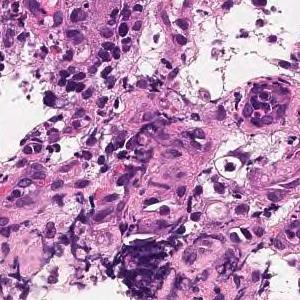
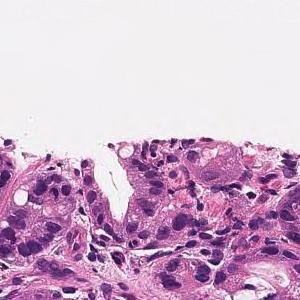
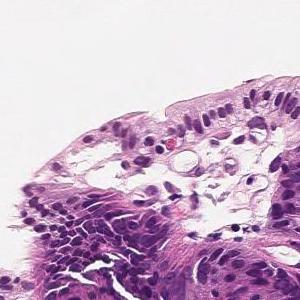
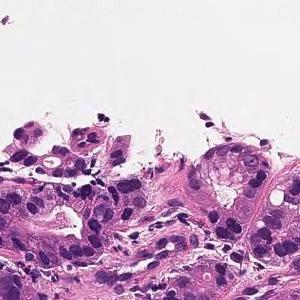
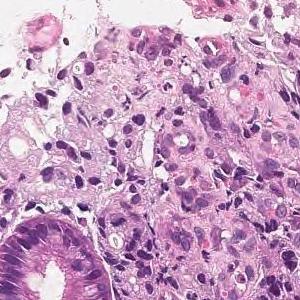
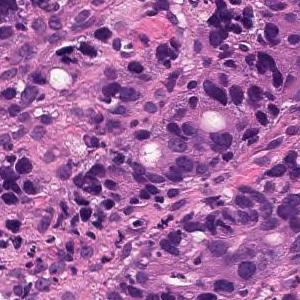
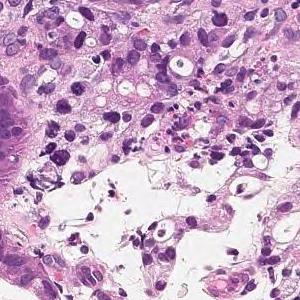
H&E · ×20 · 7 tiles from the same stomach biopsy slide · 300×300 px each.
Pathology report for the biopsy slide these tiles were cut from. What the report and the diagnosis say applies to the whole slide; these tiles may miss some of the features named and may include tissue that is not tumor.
In the superficial epithelium, medium to small irregular gland ducts are formed, and in some cases, the ducts are fused to show solid alveolar lesions and infiltrating tumor tissue is observed. moderately differentiated tubular adenocarcinoma or poorly differentiated adenocarcinoma, solid-type (poorly differentiated adenocarcinoma, solid type)
The dataset labels this slide poorly differentiated adenocarcinoma, solid type, a category of the Japanese Classification of Gastric Carcinoma; in the WHO 2019 classification it is tubular adenocarcinoma, poorly differentiated.
